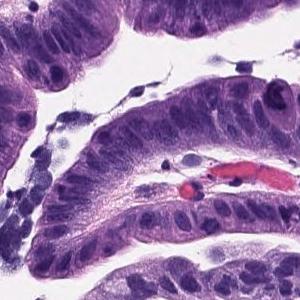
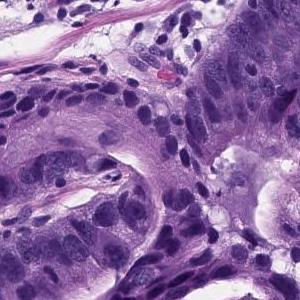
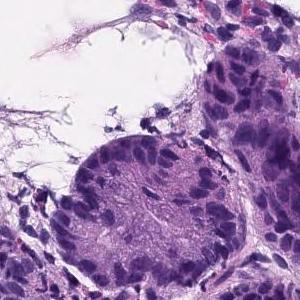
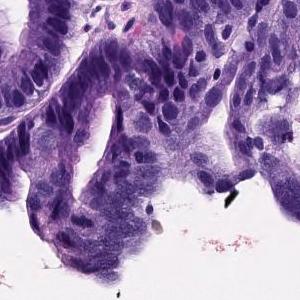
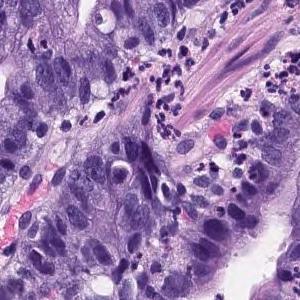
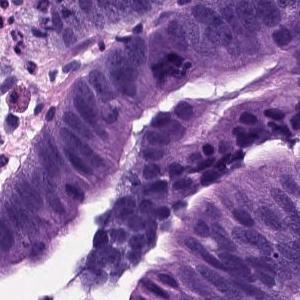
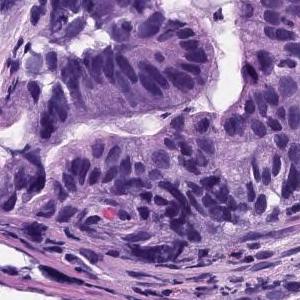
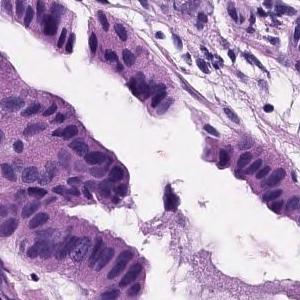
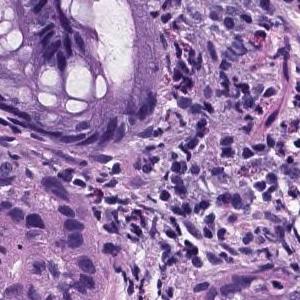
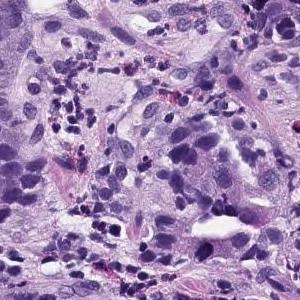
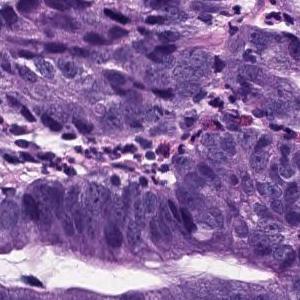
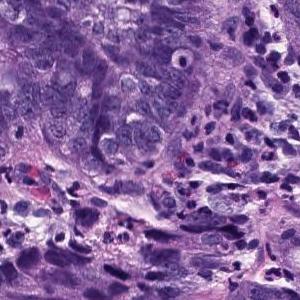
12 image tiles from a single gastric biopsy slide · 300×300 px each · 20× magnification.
Diagnostic report for the slide these tiles come from. The report describes the whole slide, diagnosis included: not every finding it names need appear in these tiles, which may also show non-tumor tissue.
Tumor tissue consisting of large papillary structures is found in the superficial epithelium. Papillary adenocarcinoma.
